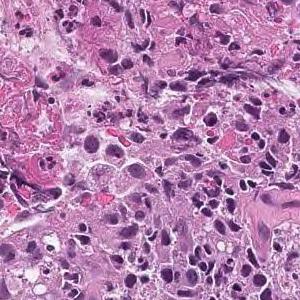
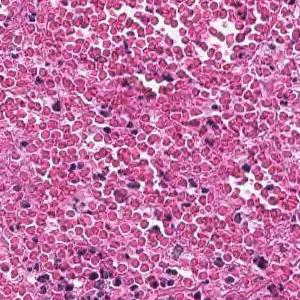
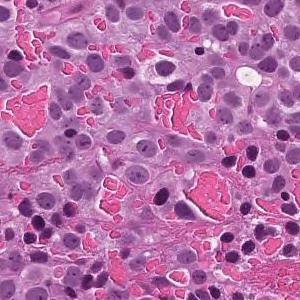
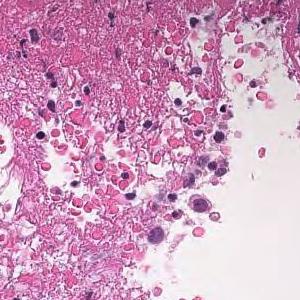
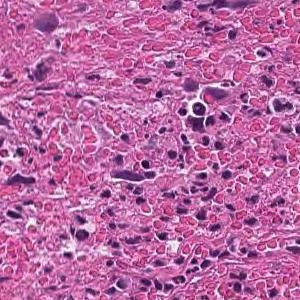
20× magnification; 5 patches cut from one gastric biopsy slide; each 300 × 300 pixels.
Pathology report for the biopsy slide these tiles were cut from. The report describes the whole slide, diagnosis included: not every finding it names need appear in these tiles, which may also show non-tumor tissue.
The superficial epithelium shows a large sheet-like shape, and some tumor tissue infiltrates with small irregular ducts. Poorly differentiated adenocarcinoma, solid-type
Histologic type: Poorly differentiated adenocarcinoma, solid type (Japanese Classification of Gastric Carcinoma). The WHO 2019 equivalent is tubular adenocarcinoma, poorly differentiated.
